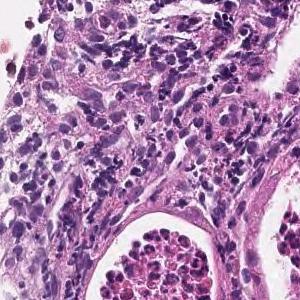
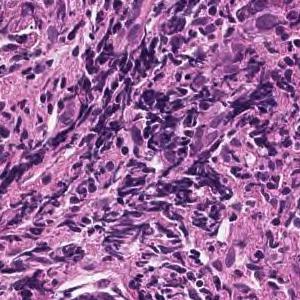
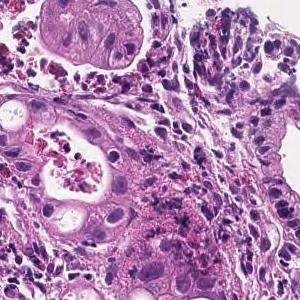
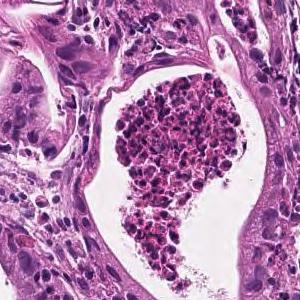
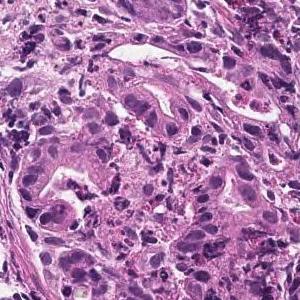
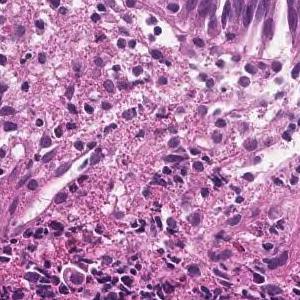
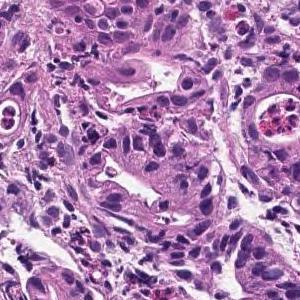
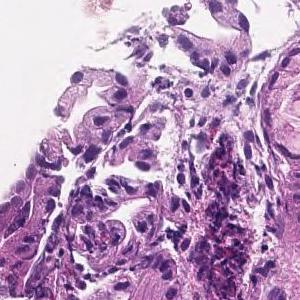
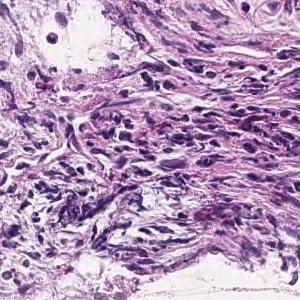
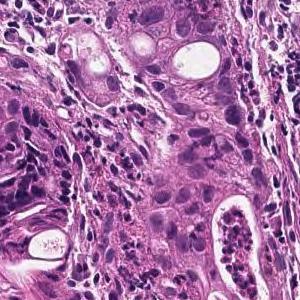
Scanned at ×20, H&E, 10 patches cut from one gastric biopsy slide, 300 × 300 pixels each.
Diagnostic report for the slide these tiles come from. The report and the diagnosis cover the entire slide, so not every feature they name need be visible here, and some tissue shown may not be tumor.
In the superficial epithelium, tumor tissue that invades by forming medium-sized to small, irregular ducts is observed. moderately differentiated tubular adenocarcinoma.
